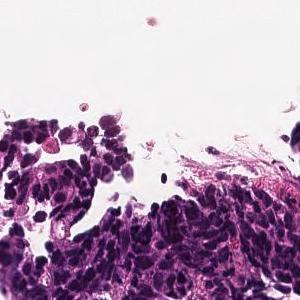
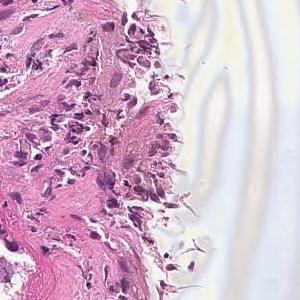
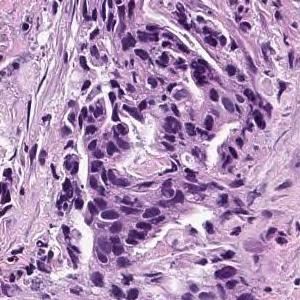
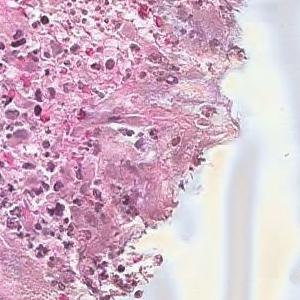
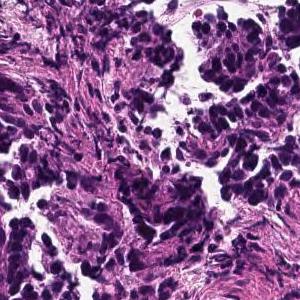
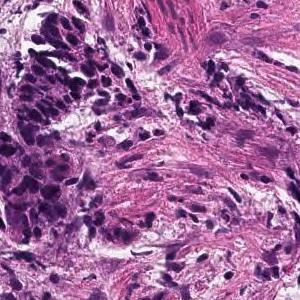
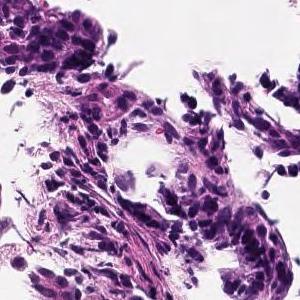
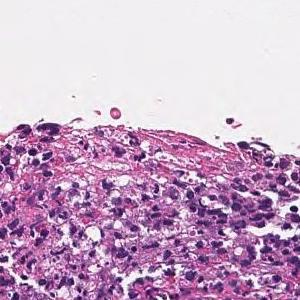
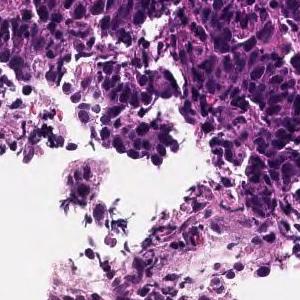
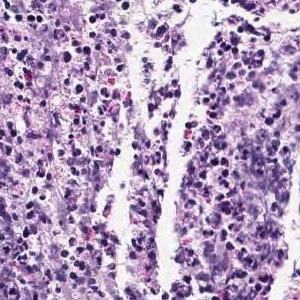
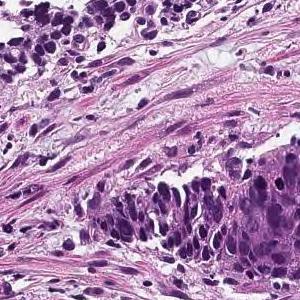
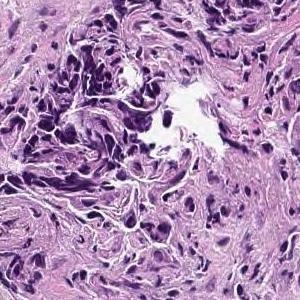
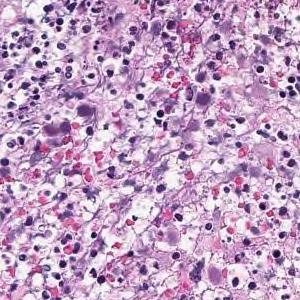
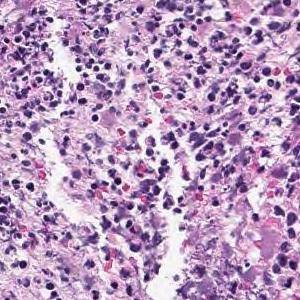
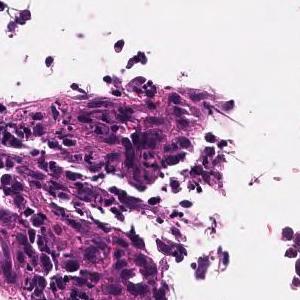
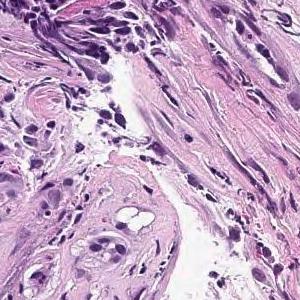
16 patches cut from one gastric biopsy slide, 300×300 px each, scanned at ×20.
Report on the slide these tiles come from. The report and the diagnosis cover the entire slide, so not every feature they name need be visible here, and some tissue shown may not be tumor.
In the superficial epithelium, tumor tissue that invades by forming medium-sized to small, irregular ducts is observed. moderately differentiated tubular adenocarcinoma.
